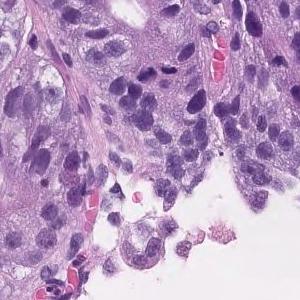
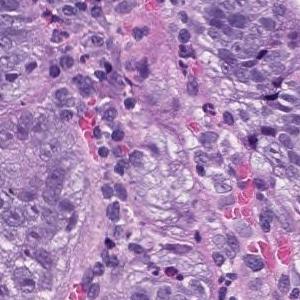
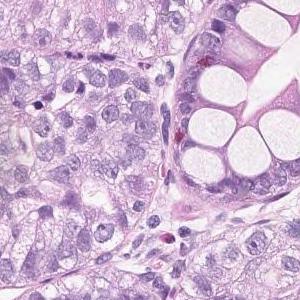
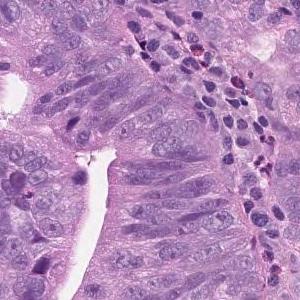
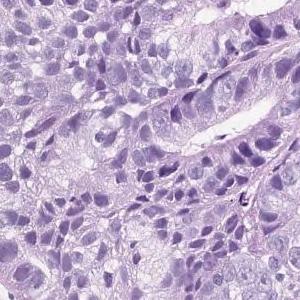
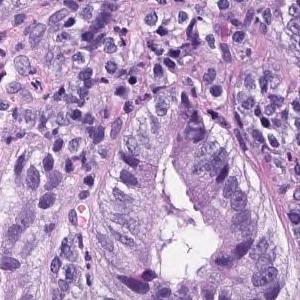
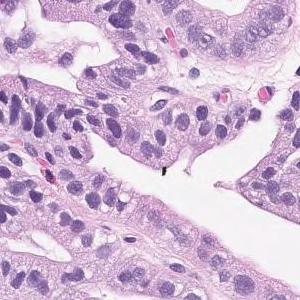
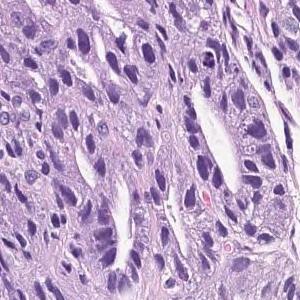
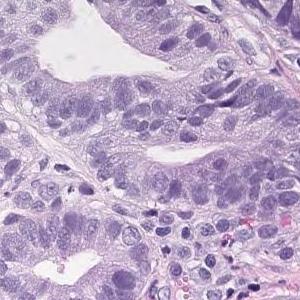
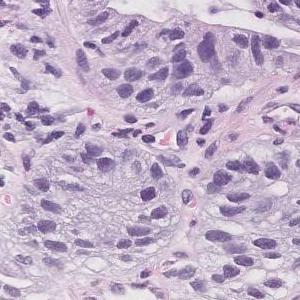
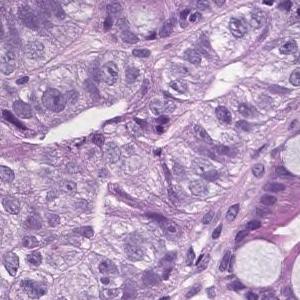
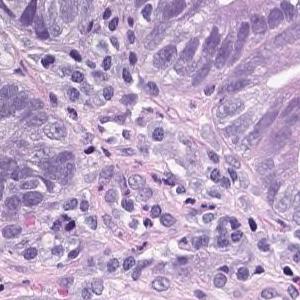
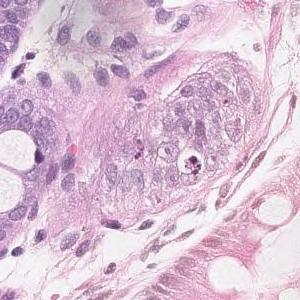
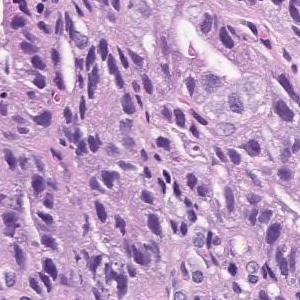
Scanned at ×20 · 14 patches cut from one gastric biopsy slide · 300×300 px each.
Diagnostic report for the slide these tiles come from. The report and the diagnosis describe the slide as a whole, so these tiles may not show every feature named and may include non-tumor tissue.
On the superficial epithelium, tumor tissue consisting of medium to small irregular tubules partially fused and proliferated is observed. moderately differentiated tubular adenocarcinoma
